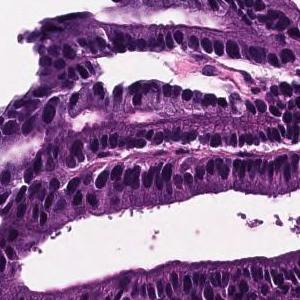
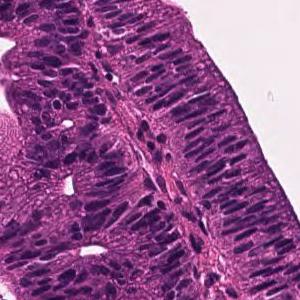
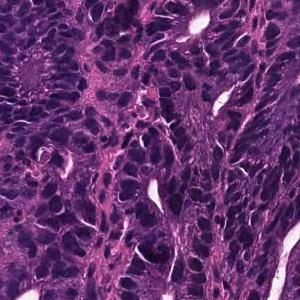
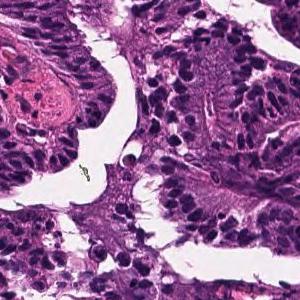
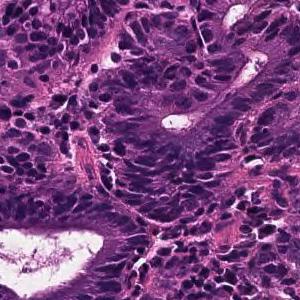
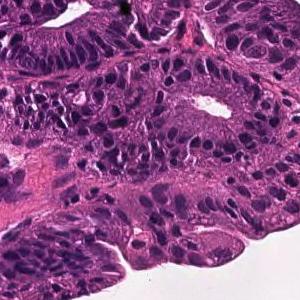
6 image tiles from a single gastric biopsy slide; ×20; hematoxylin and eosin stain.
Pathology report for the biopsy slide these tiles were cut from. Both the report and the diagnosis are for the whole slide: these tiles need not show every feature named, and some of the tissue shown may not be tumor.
Tumor tissue that remains within the superficial epithelium and is infiltrated by large papillary or irregular ducts that fuse with each other is observed. Well differentiated tubular adenocarcinoma
